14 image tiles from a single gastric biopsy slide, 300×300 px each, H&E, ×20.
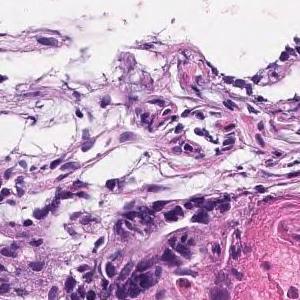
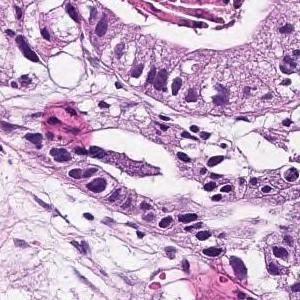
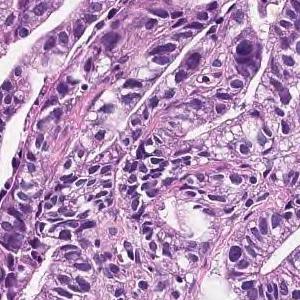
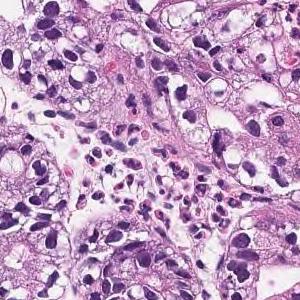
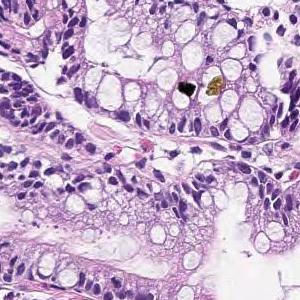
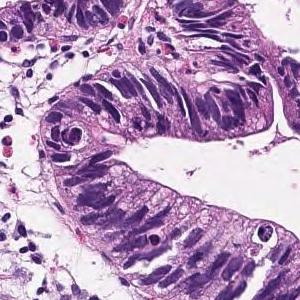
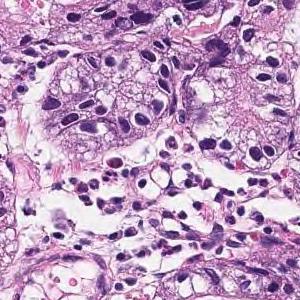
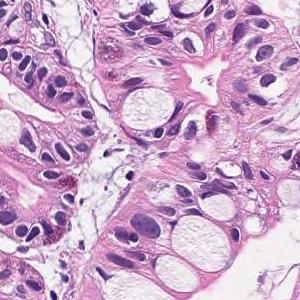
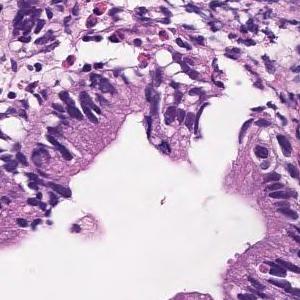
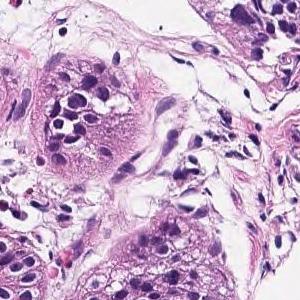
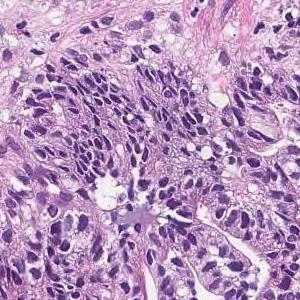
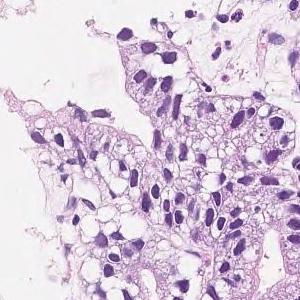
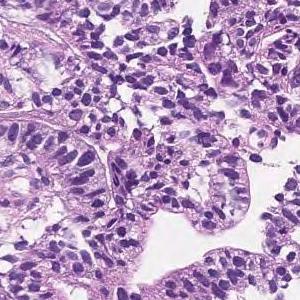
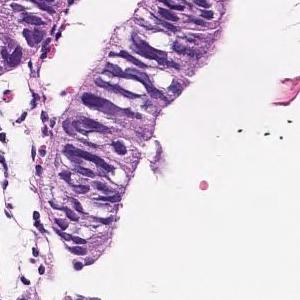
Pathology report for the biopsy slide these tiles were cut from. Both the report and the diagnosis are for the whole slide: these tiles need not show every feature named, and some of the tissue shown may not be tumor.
In the superficial epithelium, tumor tissue that invades by forming medium-sized to small, irregular ducts is observed. Moderately differentiated adenocarcinoma.
Classified as moderately differentiated tubular adenocarcinoma.
